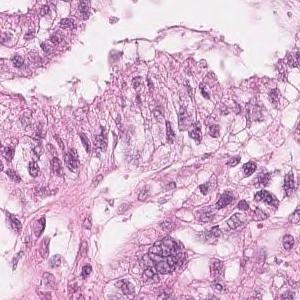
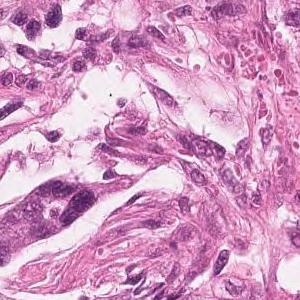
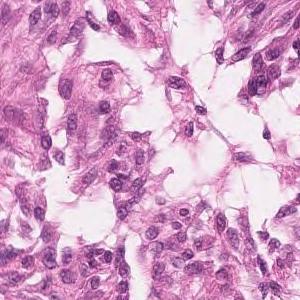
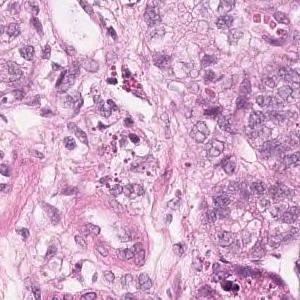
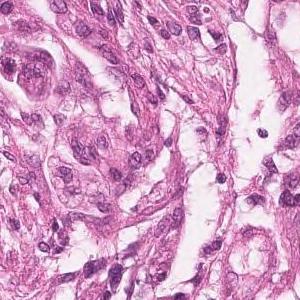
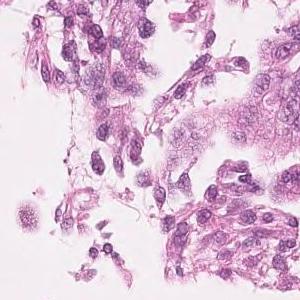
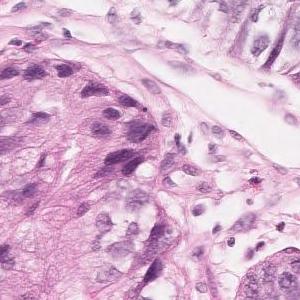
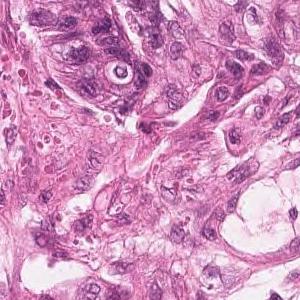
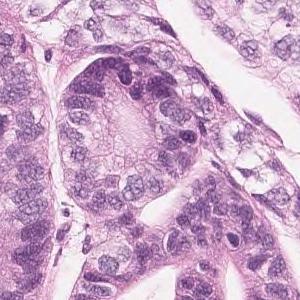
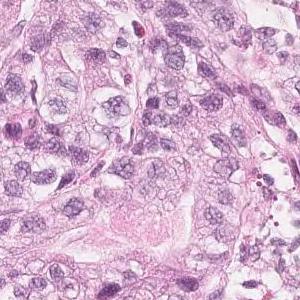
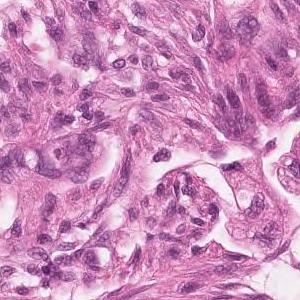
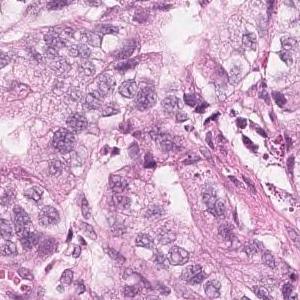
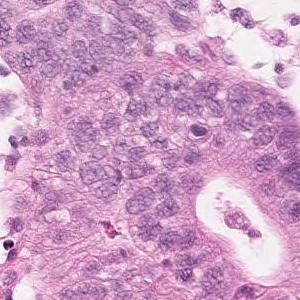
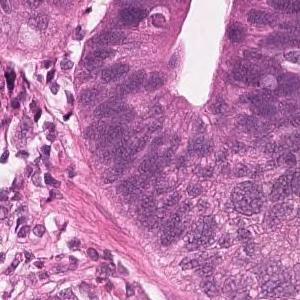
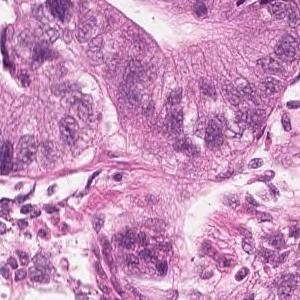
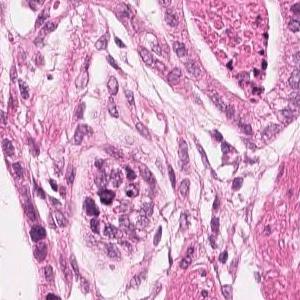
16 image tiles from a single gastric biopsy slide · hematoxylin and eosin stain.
Report on the slide these tiles come from. The report describes the whole slide, diagnosis included: not every finding it names need appear in these tiles, which may also show non-tumor tissue.
Highly columnar epithelium with disordered nuclear localization proliferates showing fusion ductal construction. moderately differentiated tubular adenocarcinoma
